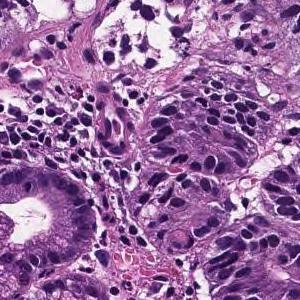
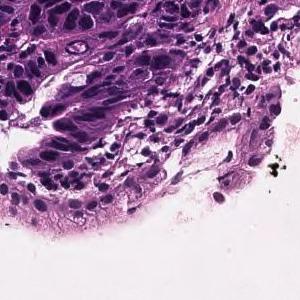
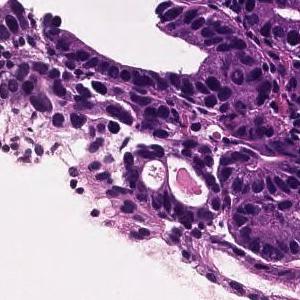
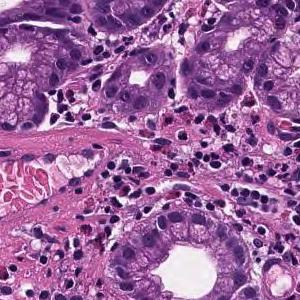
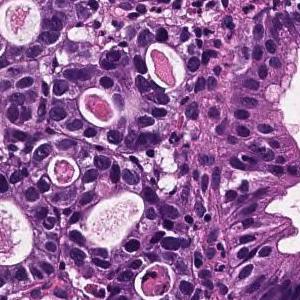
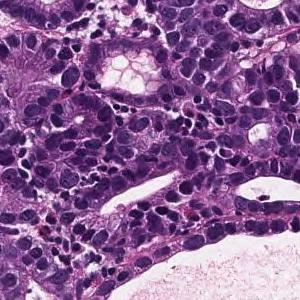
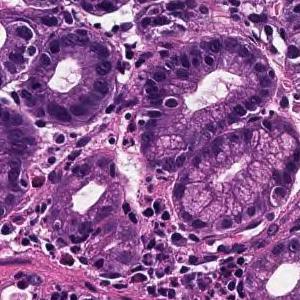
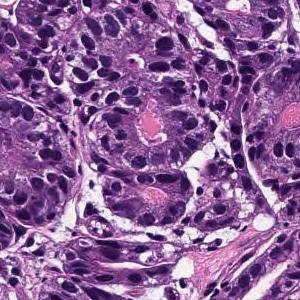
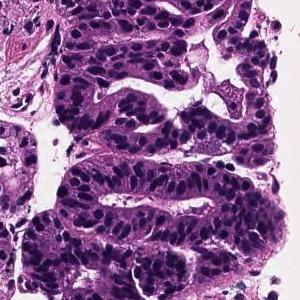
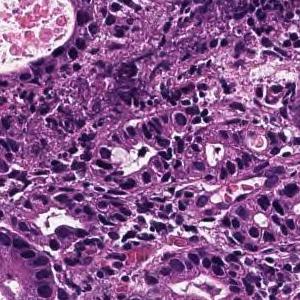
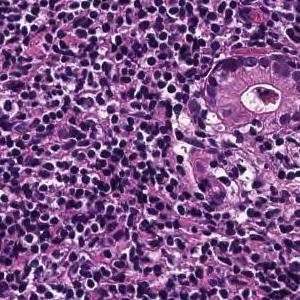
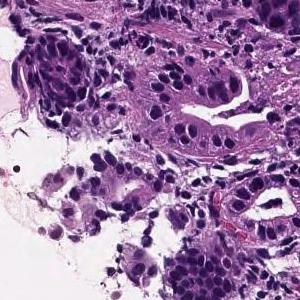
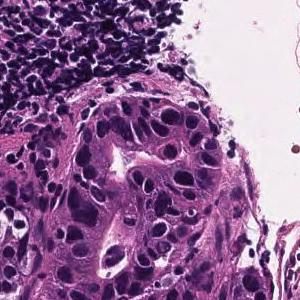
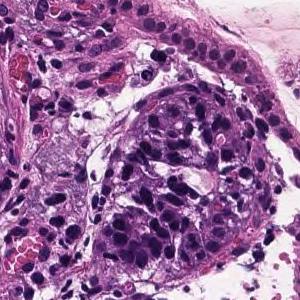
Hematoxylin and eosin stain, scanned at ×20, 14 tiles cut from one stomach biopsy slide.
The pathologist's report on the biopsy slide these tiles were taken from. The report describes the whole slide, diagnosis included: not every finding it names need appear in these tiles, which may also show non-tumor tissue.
In the superficial epithelium, tumor tissue that invades by forming medium-sized to small, irregular ducts is observed. Well differentiated tubular adenocarcinoma.
